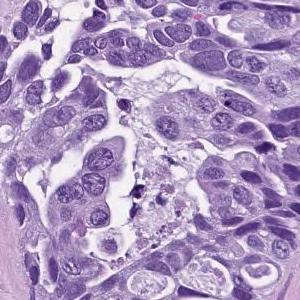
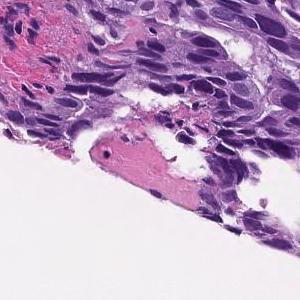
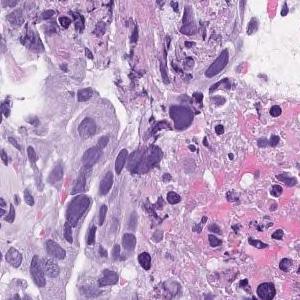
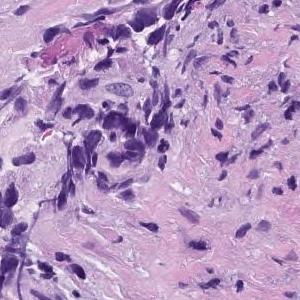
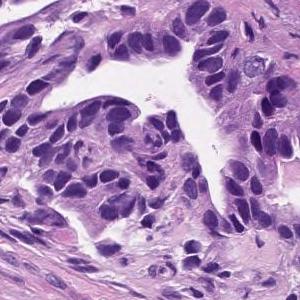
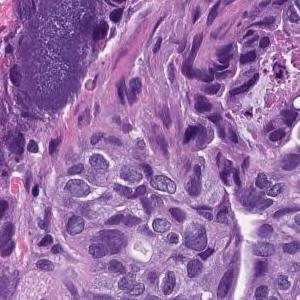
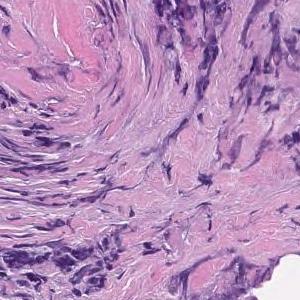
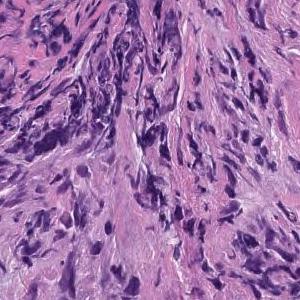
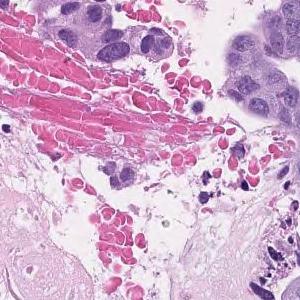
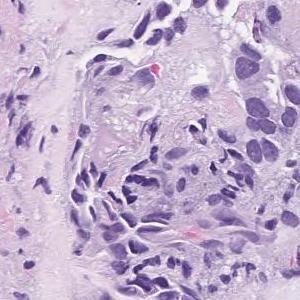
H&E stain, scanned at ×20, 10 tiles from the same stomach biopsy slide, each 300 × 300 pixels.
Pathology report for the slide these tiles were cut from. The report and the diagnosis cover the entire slide, so not every feature they name need be visible here, and some tissue shown may not be tumor.
In the superficial epithelium, tumor tissue that invades by forming medium-sized to small, irregular ducts is observed. moderately differentiated tubular adenocarcinoma.
